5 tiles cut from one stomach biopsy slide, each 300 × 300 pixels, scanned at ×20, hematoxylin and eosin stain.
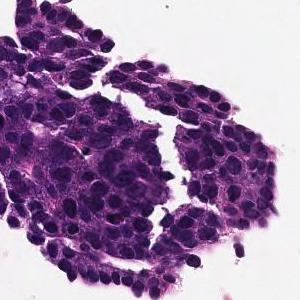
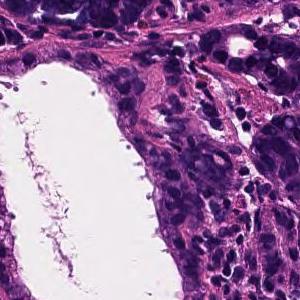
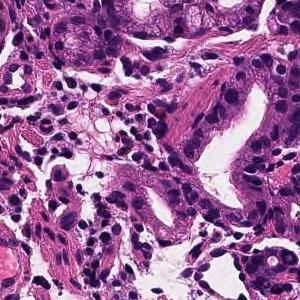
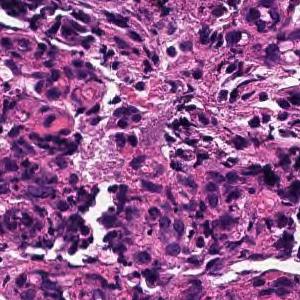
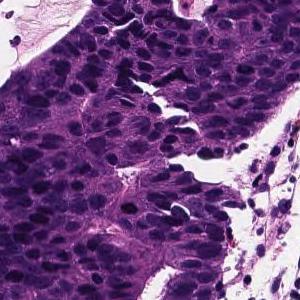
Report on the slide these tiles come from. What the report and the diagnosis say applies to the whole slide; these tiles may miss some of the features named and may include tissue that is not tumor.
In the superficial epithelium, tumor tissue that invades by forming medium-sized to small, irregular ducts is observed. moderately differentiated tubular adenocarcinoma.
